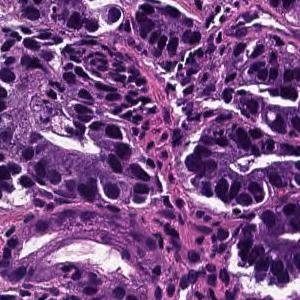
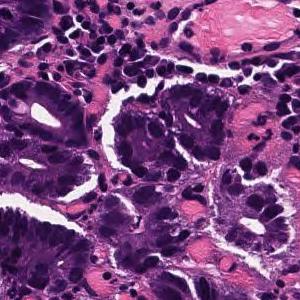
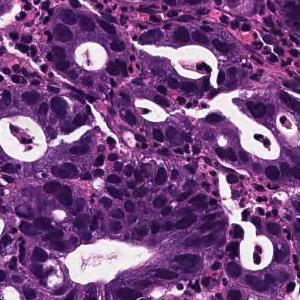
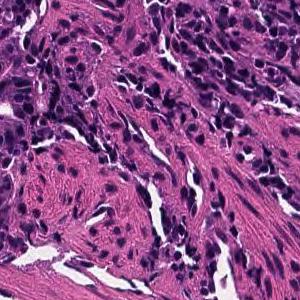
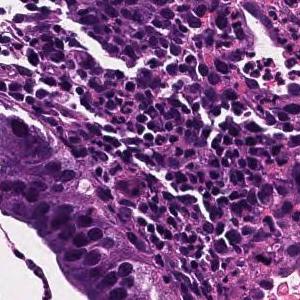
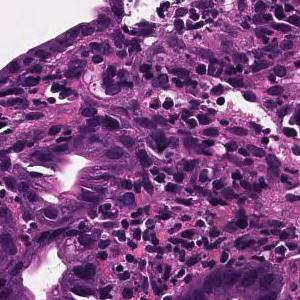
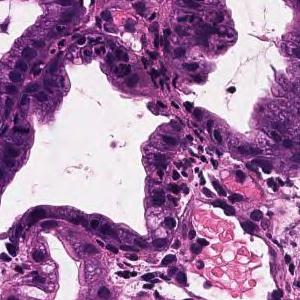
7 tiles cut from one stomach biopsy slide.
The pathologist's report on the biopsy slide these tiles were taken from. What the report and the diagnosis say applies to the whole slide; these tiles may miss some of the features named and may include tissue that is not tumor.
From the superficial epithelium to the muscularis mucosae, tumor tissue consisting of medium-sized and irregular glandular ducts infiltrating is observed. Well differentiated tubular adenocarcinoma
